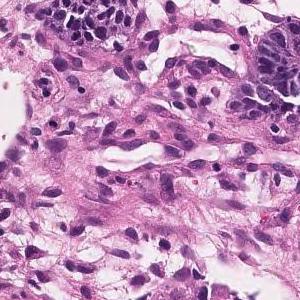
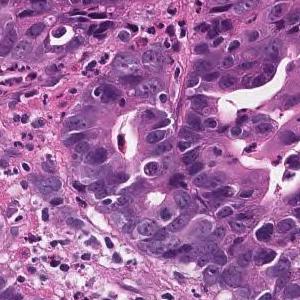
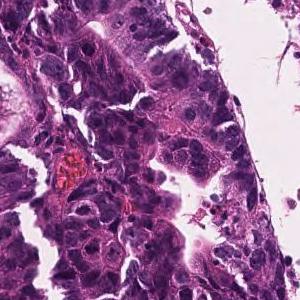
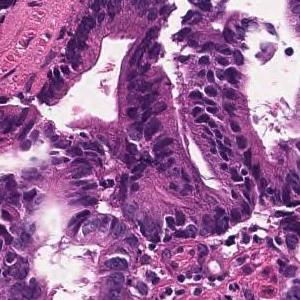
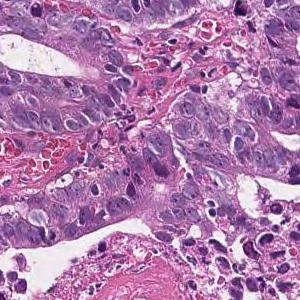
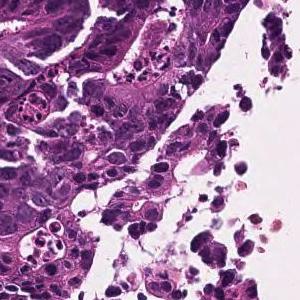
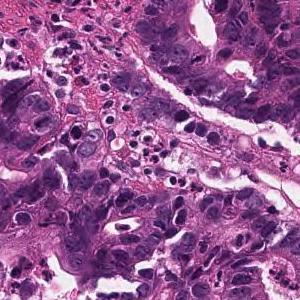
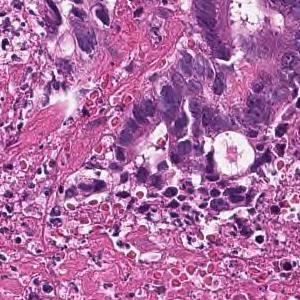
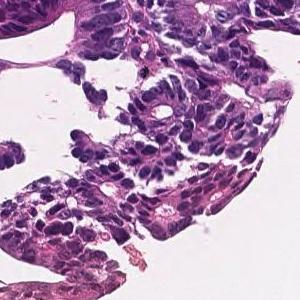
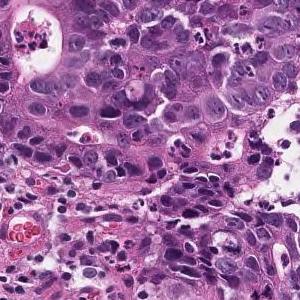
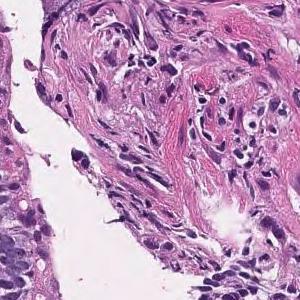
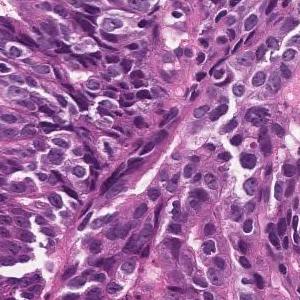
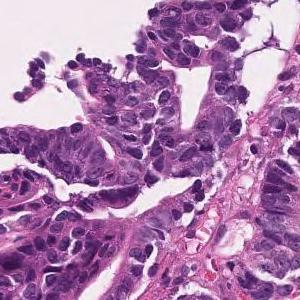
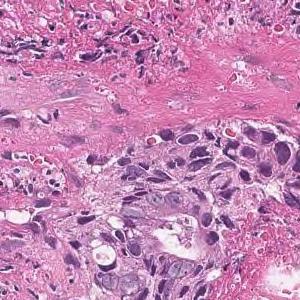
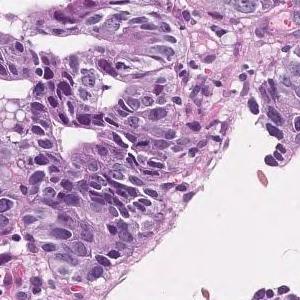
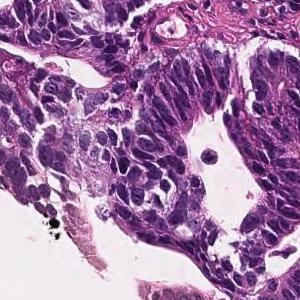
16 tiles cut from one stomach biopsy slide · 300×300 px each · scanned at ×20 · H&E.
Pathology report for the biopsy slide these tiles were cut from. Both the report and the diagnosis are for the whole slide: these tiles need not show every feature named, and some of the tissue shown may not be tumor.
In the superficial epithelium, tumor tissue that invades by forming medium-sized to small, irregular ducts is observed. moderately differentiated tubular adenocarcinoma.
